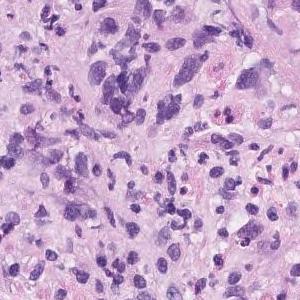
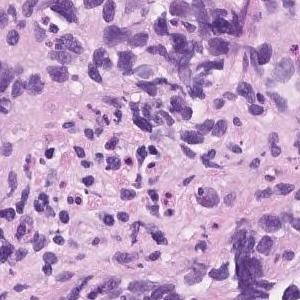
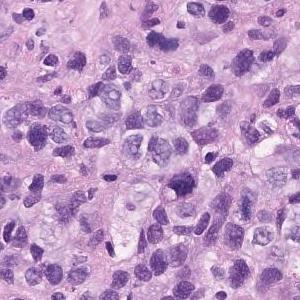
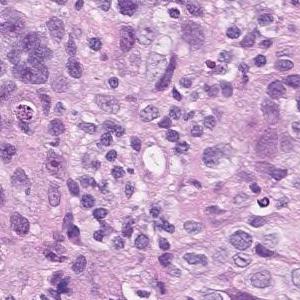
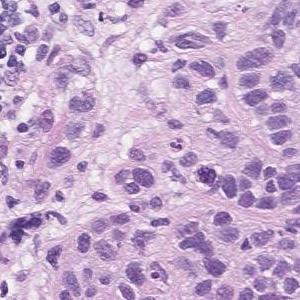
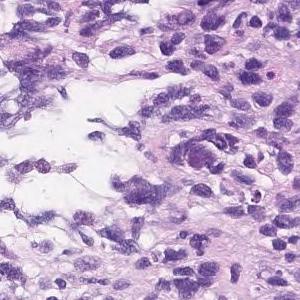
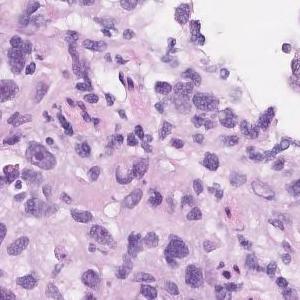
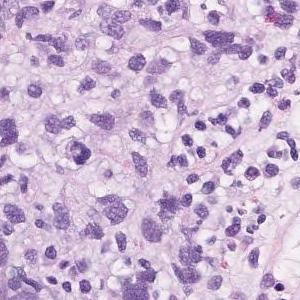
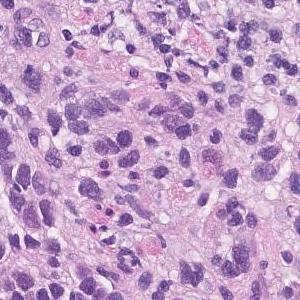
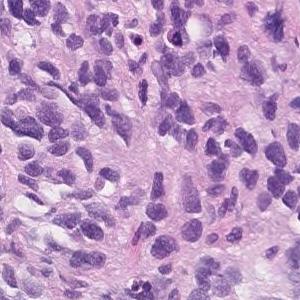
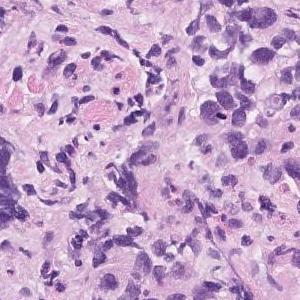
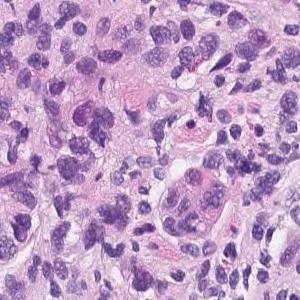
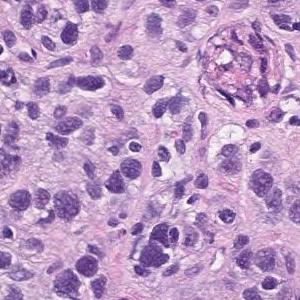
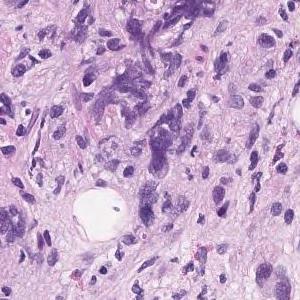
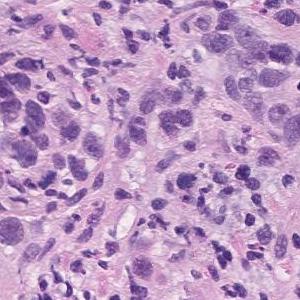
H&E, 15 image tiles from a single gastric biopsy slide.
Pathology report for the biopsy slide these tiles were cut from. What the report and the diagnosis say applies to the whole slide; these tiles may miss some of the features named and may include tissue that is not tumor.
Atypical l cells with atypical nuclei under the mucosa growing in isolation and scattered. Poorly differentiated adenocarcinoma (poorly differentiated adenocarcinoma, non-solid type)
Subtype: Poorly differentiated adenocarcinoma, non-solid type.
"Non-solid type" is a category of the Japanese Classification of Gastric Carcinoma.
